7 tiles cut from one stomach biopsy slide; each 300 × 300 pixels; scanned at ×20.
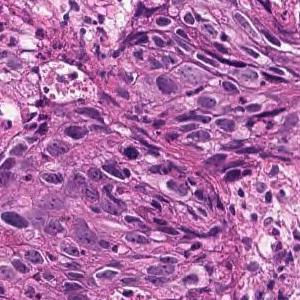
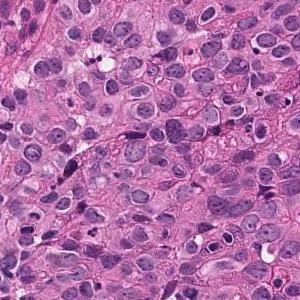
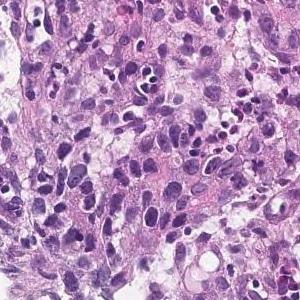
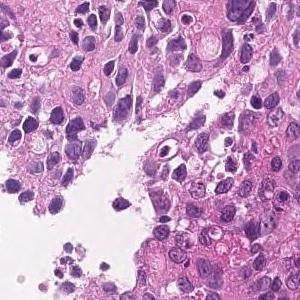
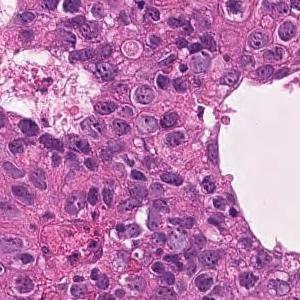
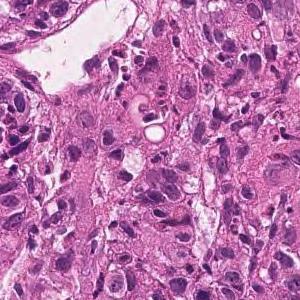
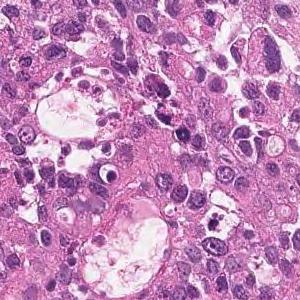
Diagnostic report for the slide these tiles come from. Both the report and the diagnosis are for the whole slide: these tiles need not show every feature named, and some of the tissue shown may not be tumor.
The superficial epithelium shows a large sheet-like shape, and some tumor tissue infiltrates with small irregular ducts. Poorly differentiated adenocarcinoma, solid-type
Classified as poorly differentiated adenocarcinoma, solid type, a category of the Japanese Classification of Gastric Carcinoma; in the WHO 2019 classification it is tubular adenocarcinoma, poorly differentiated.
